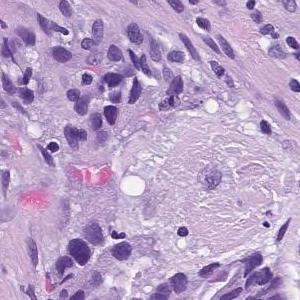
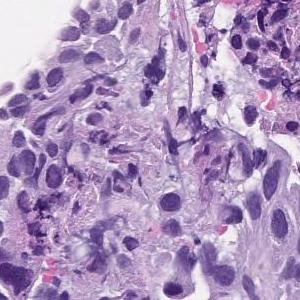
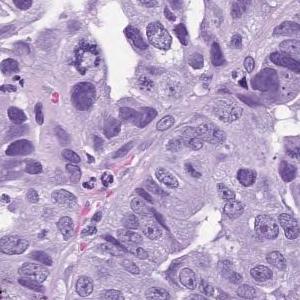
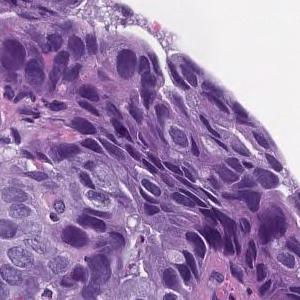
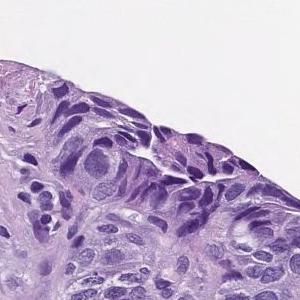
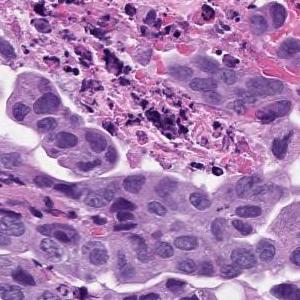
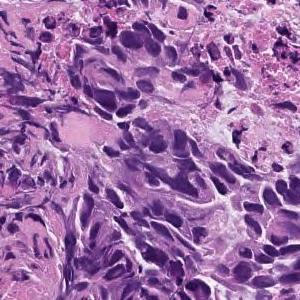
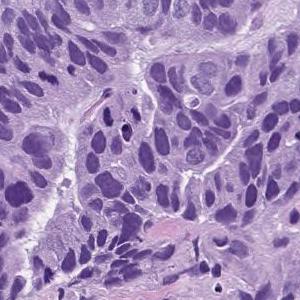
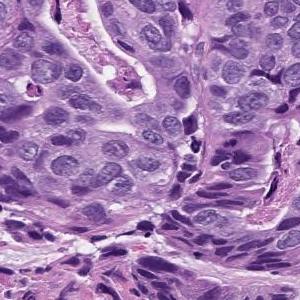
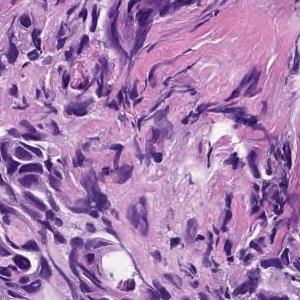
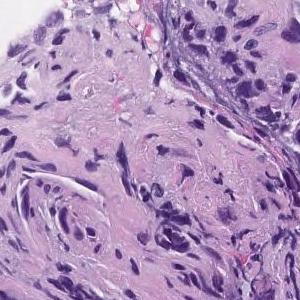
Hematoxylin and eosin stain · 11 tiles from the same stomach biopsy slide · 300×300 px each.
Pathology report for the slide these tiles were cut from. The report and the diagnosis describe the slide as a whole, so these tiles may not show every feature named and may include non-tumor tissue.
In the superficial epithelium, tumor tissue that invades by forming medium-sized to small, irregular ducts is observed. moderately differentiated tubular adenocarcinoma.
